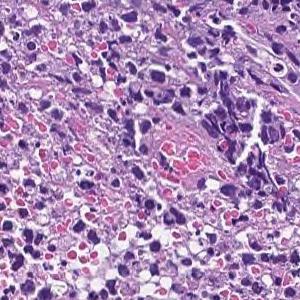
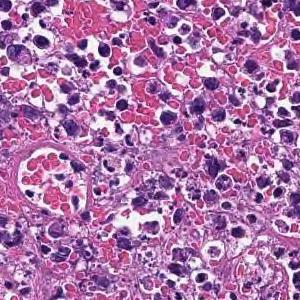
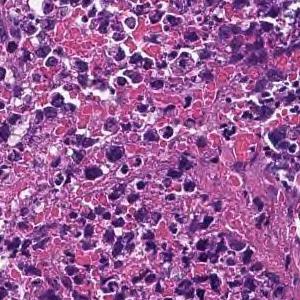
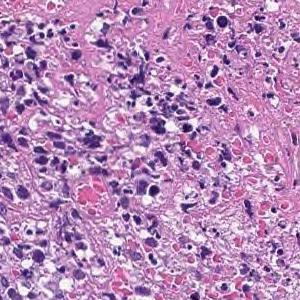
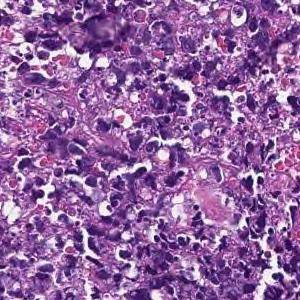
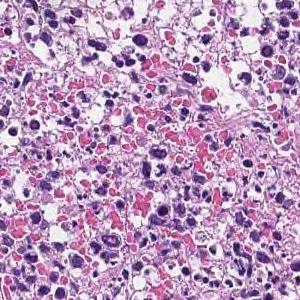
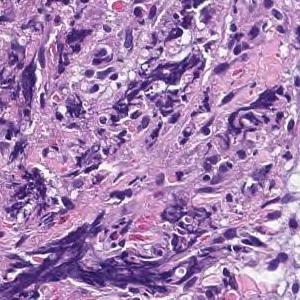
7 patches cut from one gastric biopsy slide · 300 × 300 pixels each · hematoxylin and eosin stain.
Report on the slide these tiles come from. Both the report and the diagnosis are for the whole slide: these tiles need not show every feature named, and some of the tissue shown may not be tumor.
Most are composed of coagulative necrotic tissue, but some show a large sheet-like shape, and some show tumor tissue infiltrating with a small cord-like structure. Poorly differentiated adenocarcinoma, solid-type
Histological subtype: Poorly differentiated adenocarcinoma, solid type (Japanese Classification of Gastric Carcinoma). The WHO 2019 equivalent is tubular adenocarcinoma, poorly differentiated.
